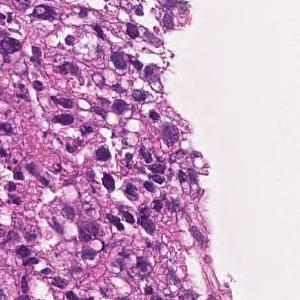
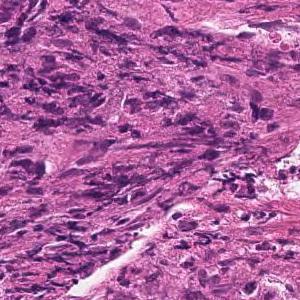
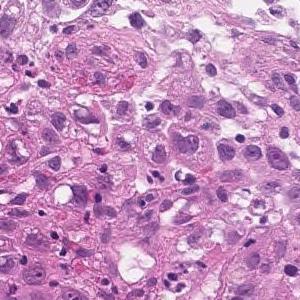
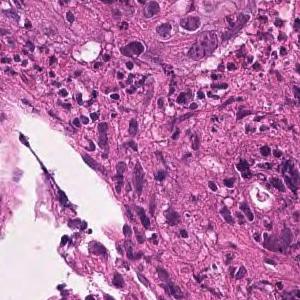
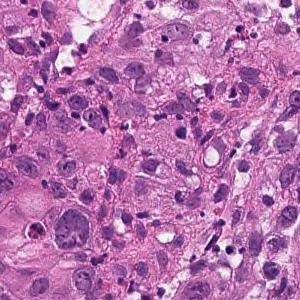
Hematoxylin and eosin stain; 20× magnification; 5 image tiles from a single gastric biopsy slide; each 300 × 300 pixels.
The pathologist's report on the biopsy slide these tiles were taken from. The report describes the whole slide, diagnosis included: not every finding it names need appear in these tiles, which may also show non-tumor tissue.
The superficial epithelium shows a large sheet-like shape, and some tumor tissue infiltrates with small irregular ducts. Poorly differentiated adenocarcinoma, solid-type
Tumor subtype: poorly differentiated adenocarcinoma, solid type, a category of the Japanese Classification of Gastric Carcinoma; in the WHO 2019 classification it is tubular adenocarcinoma, poorly differentiated.
